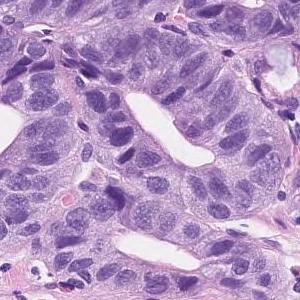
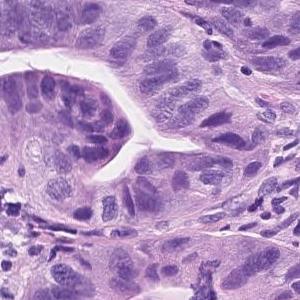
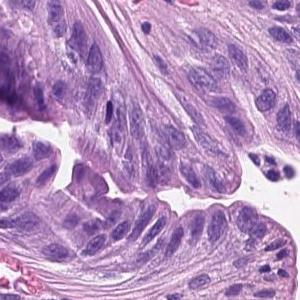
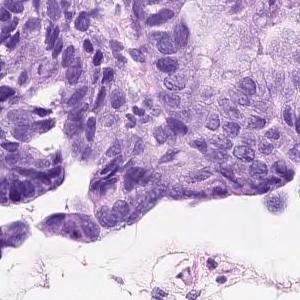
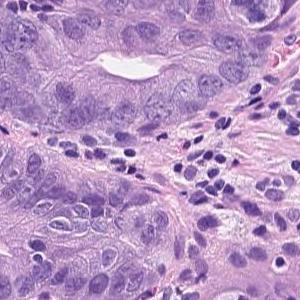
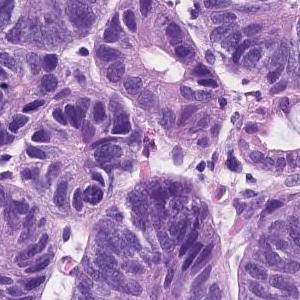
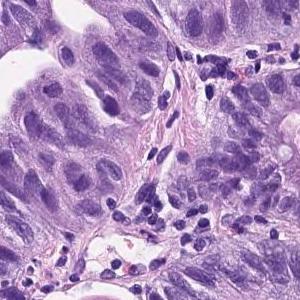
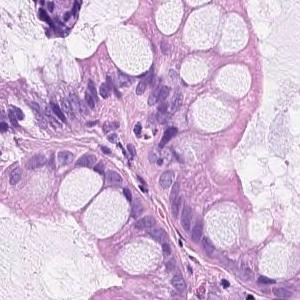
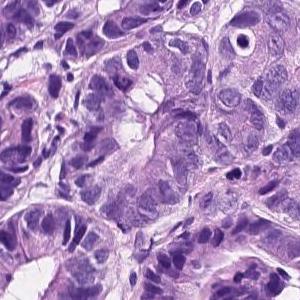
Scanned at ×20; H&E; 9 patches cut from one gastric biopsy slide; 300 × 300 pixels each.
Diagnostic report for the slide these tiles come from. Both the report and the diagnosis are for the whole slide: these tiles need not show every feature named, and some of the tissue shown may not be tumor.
Tumor tissue consisting of medium-sized and irregular ducts is observed infiltrating in the superficial epithelium. Tumor cells are highly columnar, with nuclei aligned basolaterally and polarized. Well differentiated tubular adenocarcinoma.
